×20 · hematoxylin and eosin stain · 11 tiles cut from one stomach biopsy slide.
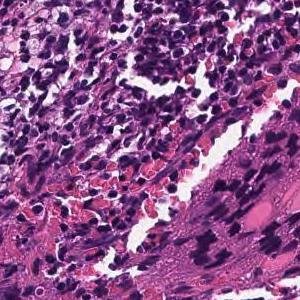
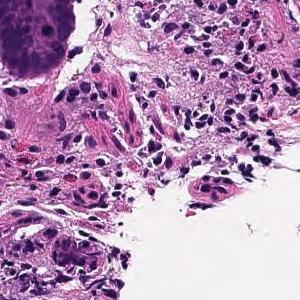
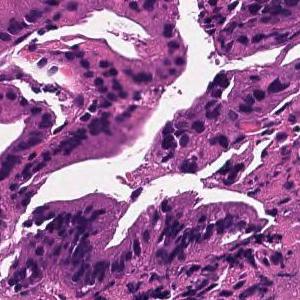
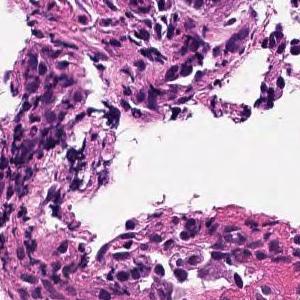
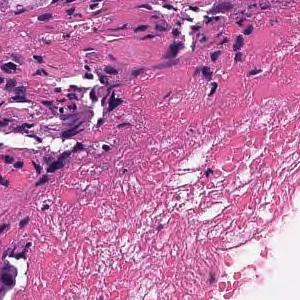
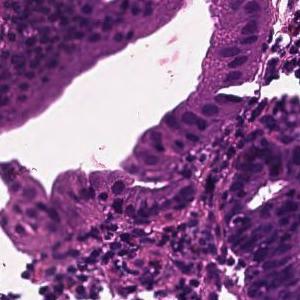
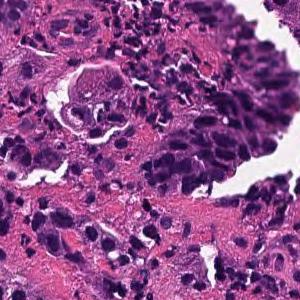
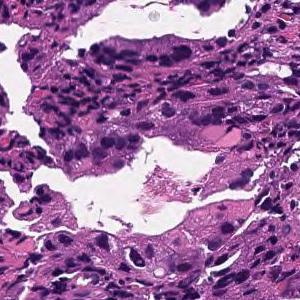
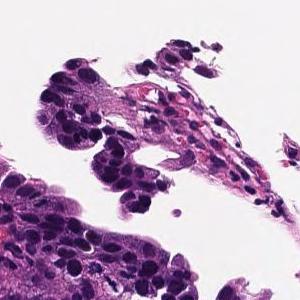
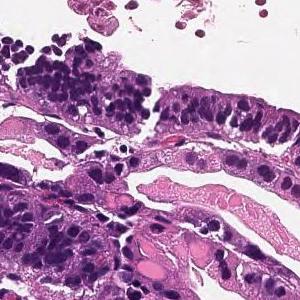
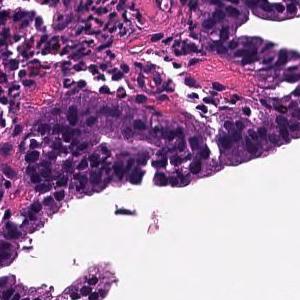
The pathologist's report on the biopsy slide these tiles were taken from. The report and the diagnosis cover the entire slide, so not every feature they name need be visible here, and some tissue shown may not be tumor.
Tumor cells are large, highly columnar, large club-shaped nuclei, and are associated with chromatin aggregation. Papillary adenocarcinoma.
